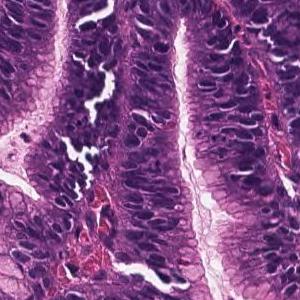
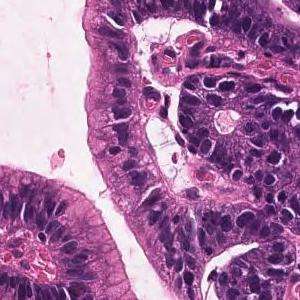
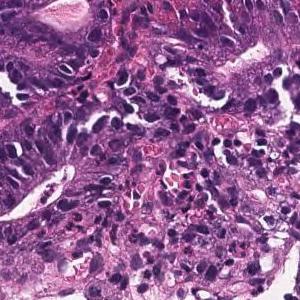
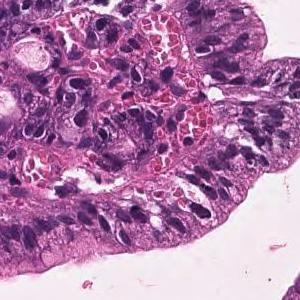
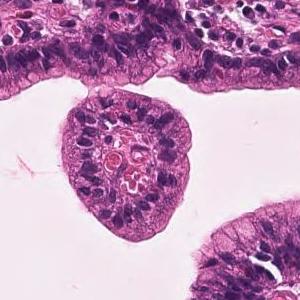
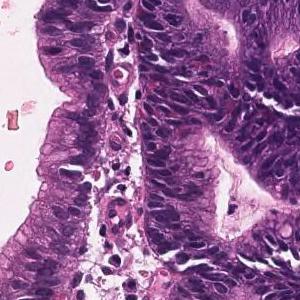
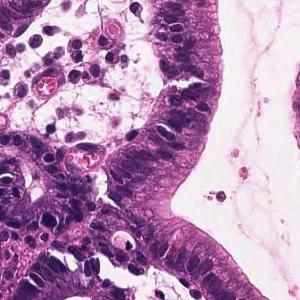
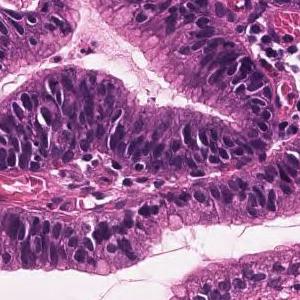
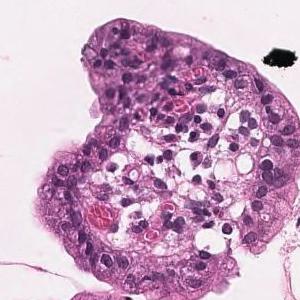
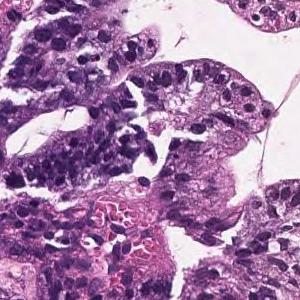
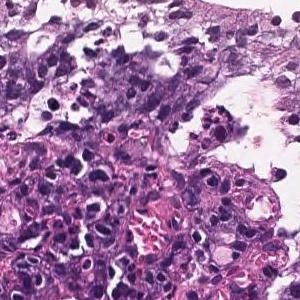
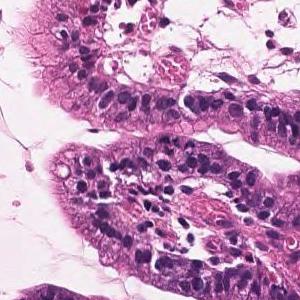
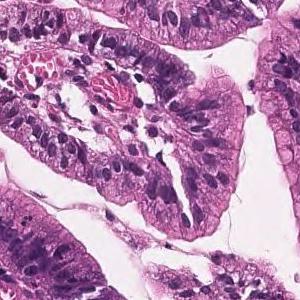
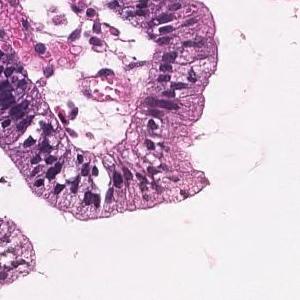
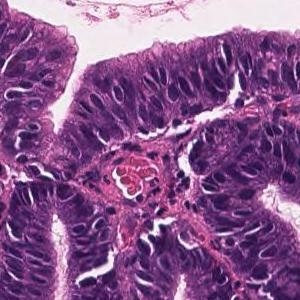
15 patches cut from one gastric biopsy slide; each 300 × 300 pixels; H&E.
Report on the slide these tiles come from. The findings and the diagnosis refer to the entire slide; these tiles show only part of it, possibly with non-tumor tissue, and may not show every feature named.
On the superficial epithelium, tumor tissue that infiltrates by forming medium-sized papillary or small irregular ducts is observed. Papillary adenocarcinoma
